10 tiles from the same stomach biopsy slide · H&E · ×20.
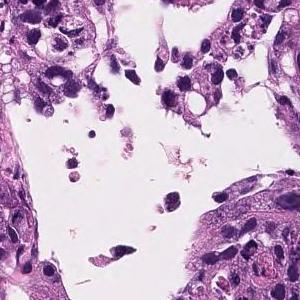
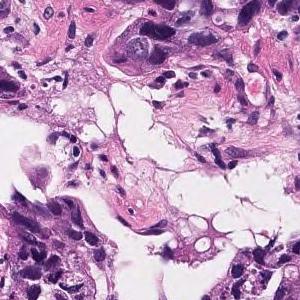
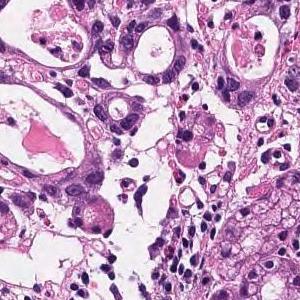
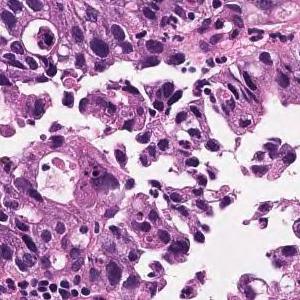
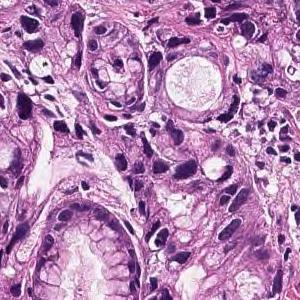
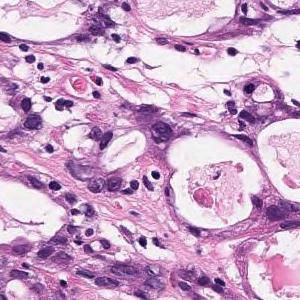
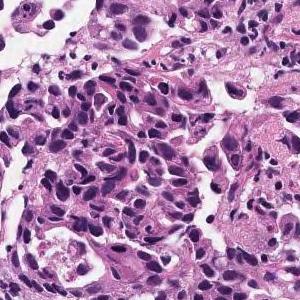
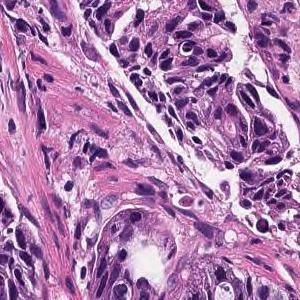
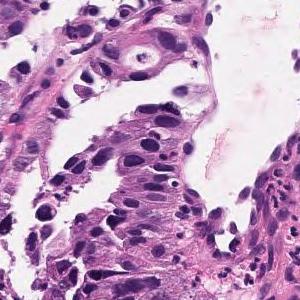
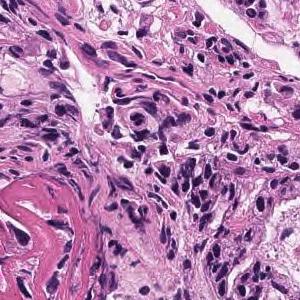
Pathology report for the slide these tiles were cut from. Both the report and the diagnosis are for the whole slide: these tiles need not show every feature named, and some of the tissue shown may not be tumor.
In the superficial epithelium, tumor tissue that invades by forming medium-sized to small, irregular ducts is observed. Moderately differentiated adenocarcinoma.
Histological subtype: Moderately differentiated tubular adenocarcinoma.
